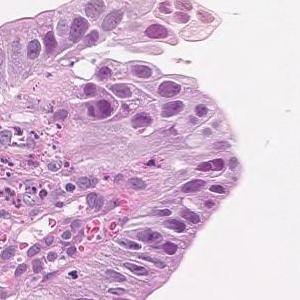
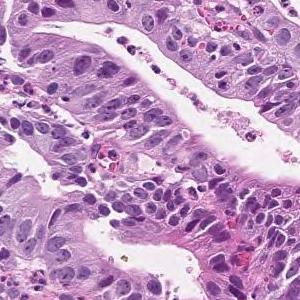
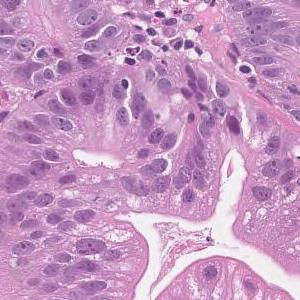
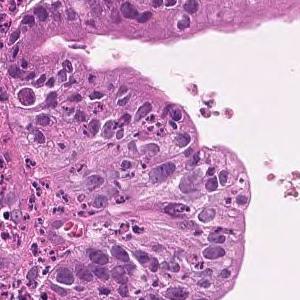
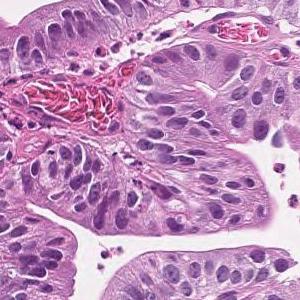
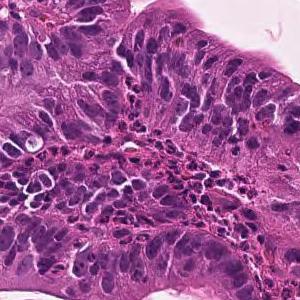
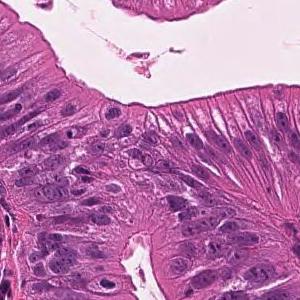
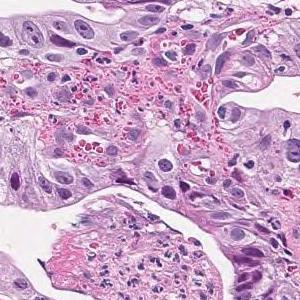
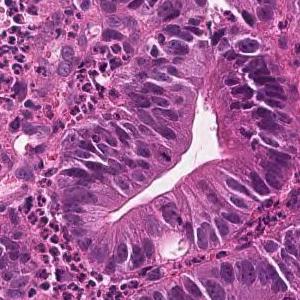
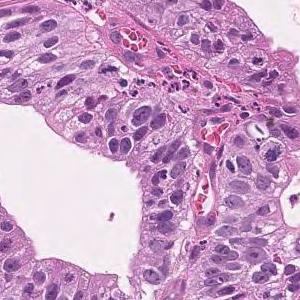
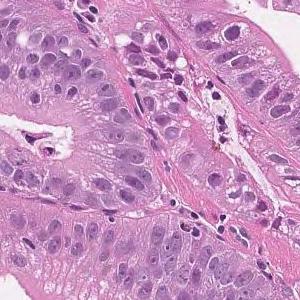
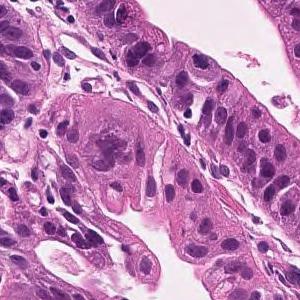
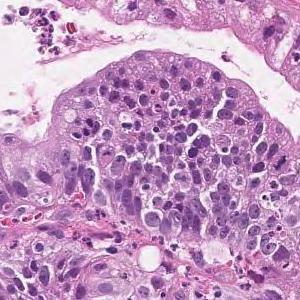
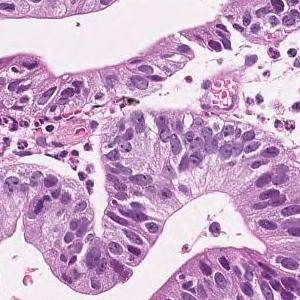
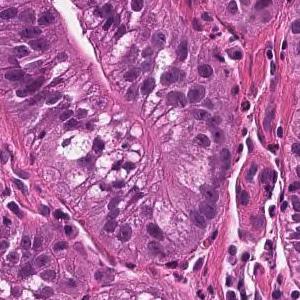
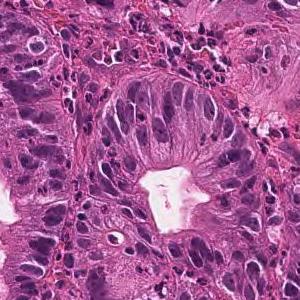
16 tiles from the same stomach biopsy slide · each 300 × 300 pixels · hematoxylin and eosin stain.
Pathology report for the biopsy slide these tiles were cut from. The findings and the diagnosis refer to the entire slide; these tiles show only part of it, possibly with non-tumor tissue, and may not show every feature named.
Tumor cells are large, highly columnar, large club-shaped nuclei, and are associated with chromatin aggregation. Papillary adenocarcinoma.
